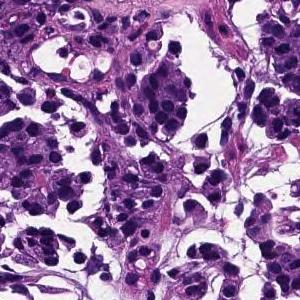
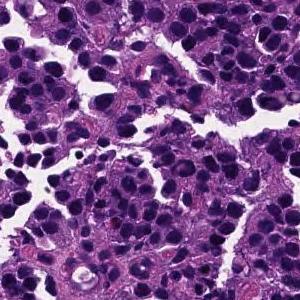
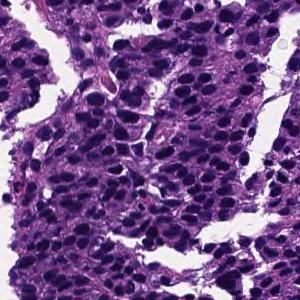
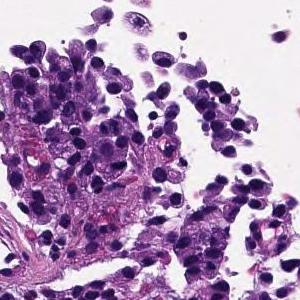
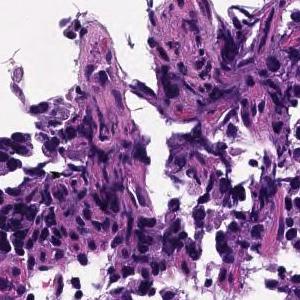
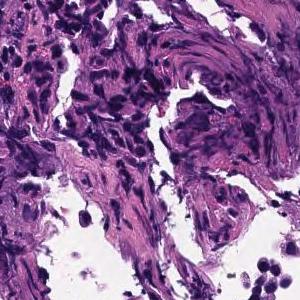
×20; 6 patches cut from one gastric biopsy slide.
Report on the slide these tiles come from. What the report and the diagnosis say applies to the whole slide; these tiles may miss some of the features named and may include tissue that is not tumor.
The superficial epithelium shows a large alveolar shape and infiltrates tumor tissue. Poorly differentiated adenocarcinoma, solid-type
Classified as poorly differentiated adenocarcinoma, solid type, a category of the Japanese Classification of Gastric Carcinoma; in the WHO 2019 classification it is tubular adenocarcinoma, poorly differentiated.
